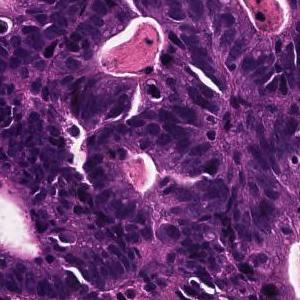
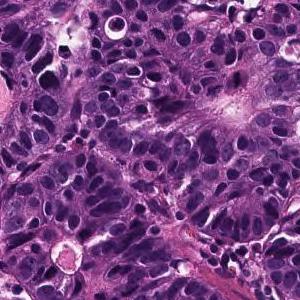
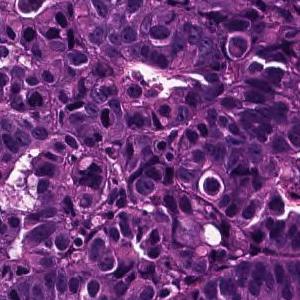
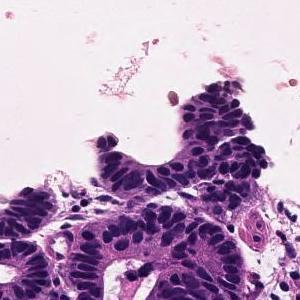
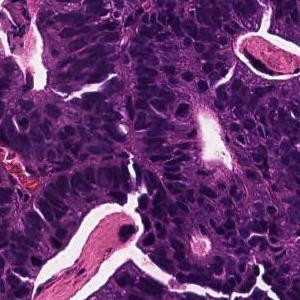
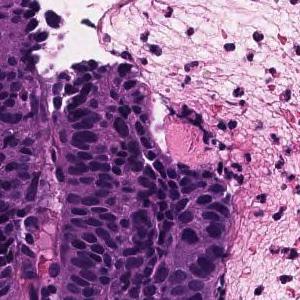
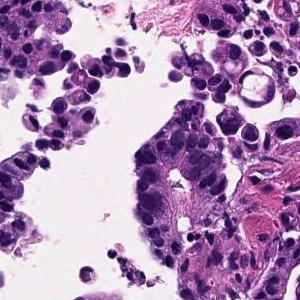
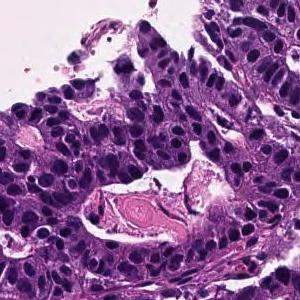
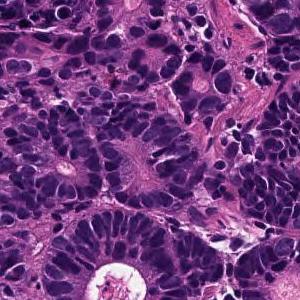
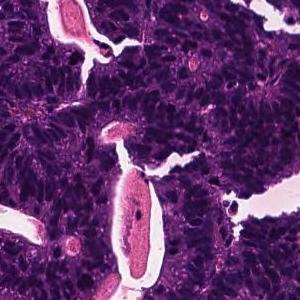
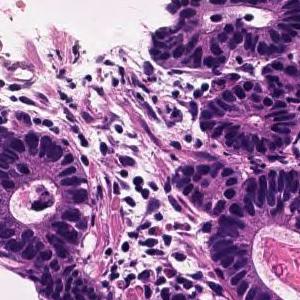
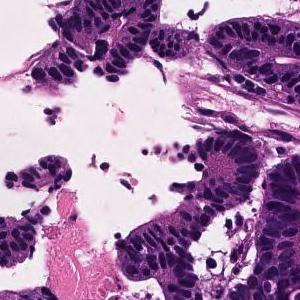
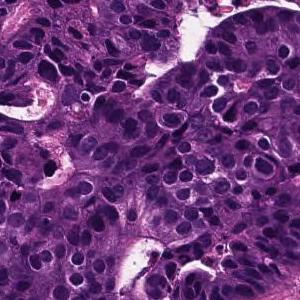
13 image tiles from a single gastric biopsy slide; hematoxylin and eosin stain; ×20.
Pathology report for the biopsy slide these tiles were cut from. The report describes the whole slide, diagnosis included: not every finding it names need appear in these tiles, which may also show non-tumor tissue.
In the superficial epithelium, tumor tissue that invades by forming medium-sized to small, irregular ducts is observed. moderately differentiated tubular adenocarcinoma.
